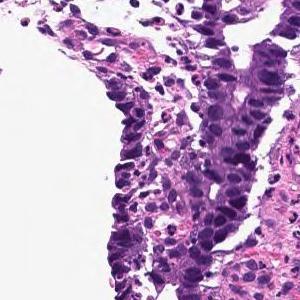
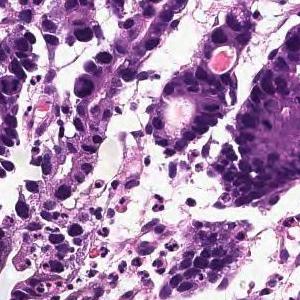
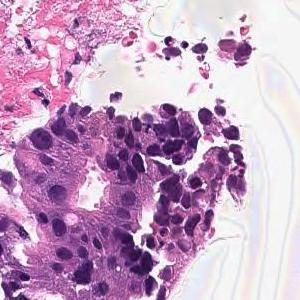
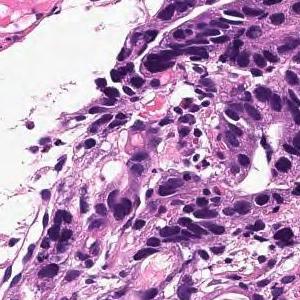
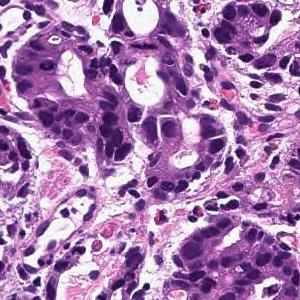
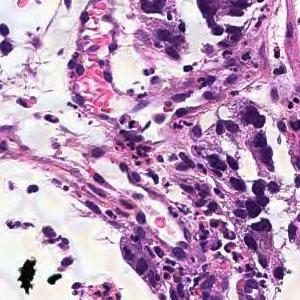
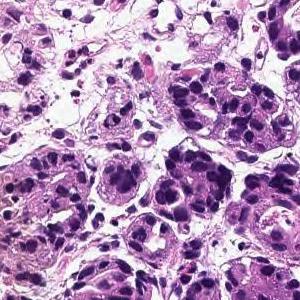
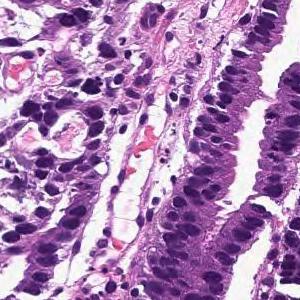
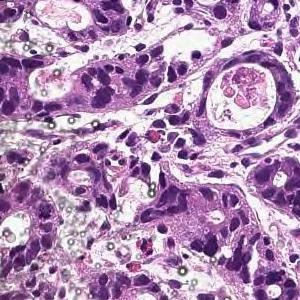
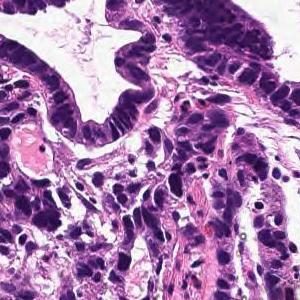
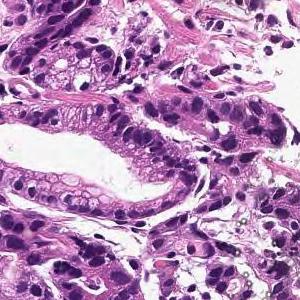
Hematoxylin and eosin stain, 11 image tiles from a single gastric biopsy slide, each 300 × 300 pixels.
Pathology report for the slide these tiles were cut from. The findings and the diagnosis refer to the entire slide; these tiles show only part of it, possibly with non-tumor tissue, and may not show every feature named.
In the superficial epithelium, tumor tissue that invades by forming medium-sized to small, irregular ducts is observed. moderately differentiated tubular adenocarcinoma.
